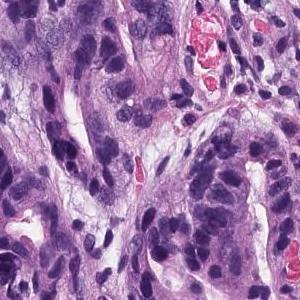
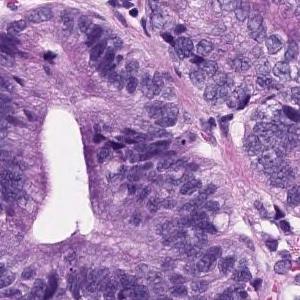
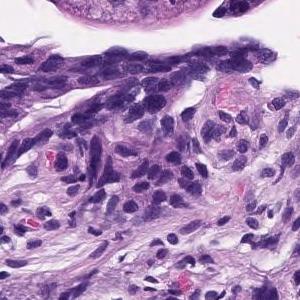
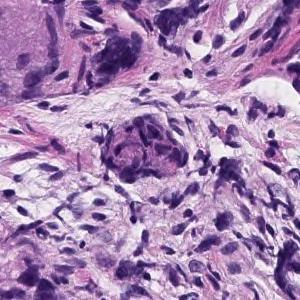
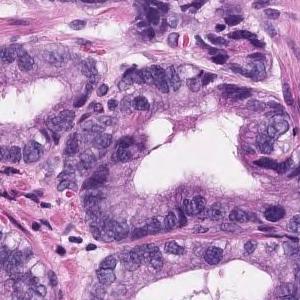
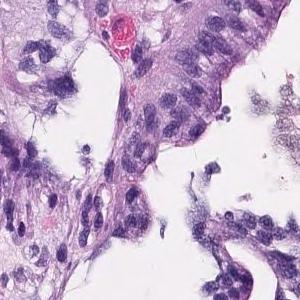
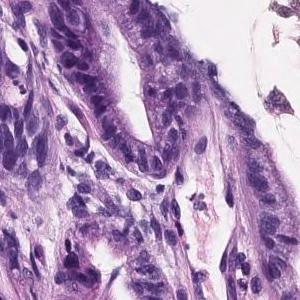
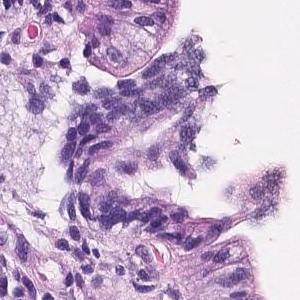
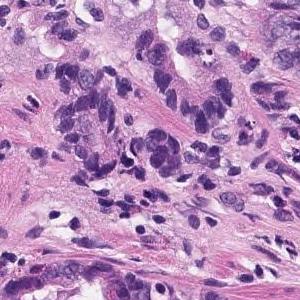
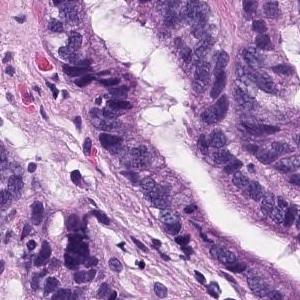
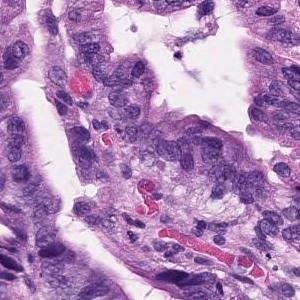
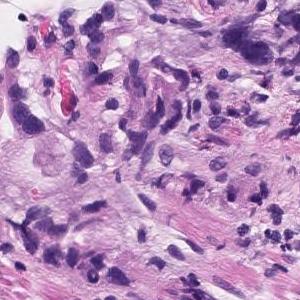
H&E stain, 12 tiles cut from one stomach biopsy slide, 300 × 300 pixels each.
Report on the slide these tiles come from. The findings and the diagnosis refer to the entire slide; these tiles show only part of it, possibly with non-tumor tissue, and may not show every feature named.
In the superficial epithelium, tumor tissue that invades by forming medium-sized to small, irregular ducts is observed. Moderately differentiated adenocarcinoma.
Tumor subtype: moderately differentiated tubular adenocarcinoma.
